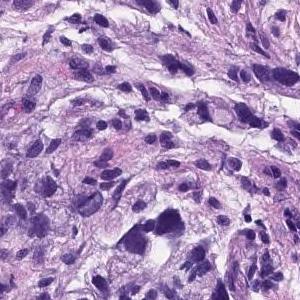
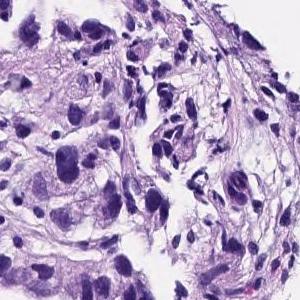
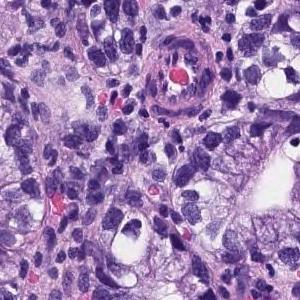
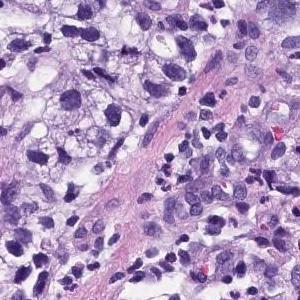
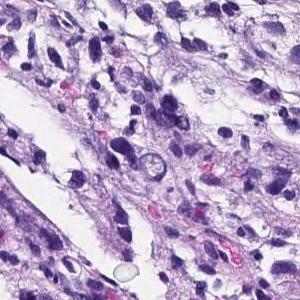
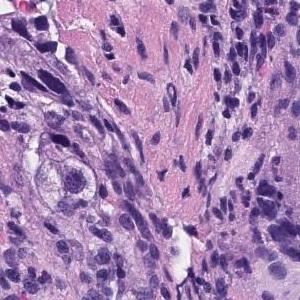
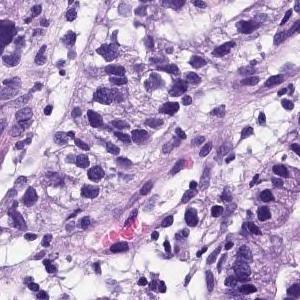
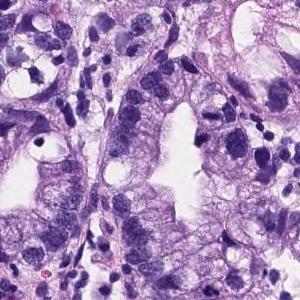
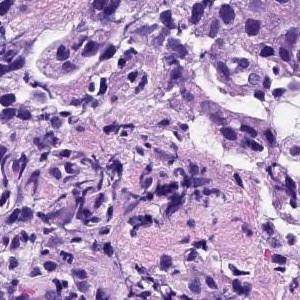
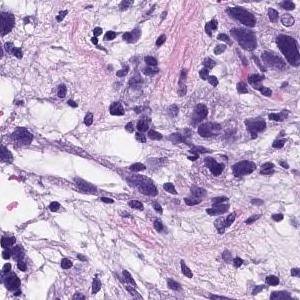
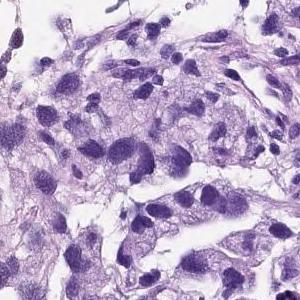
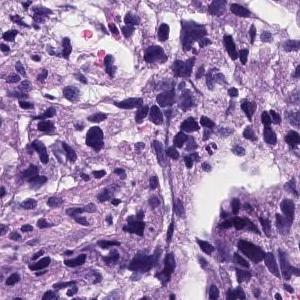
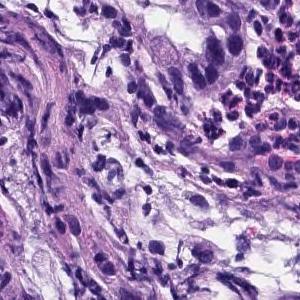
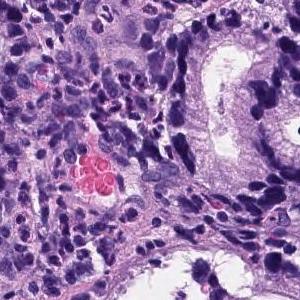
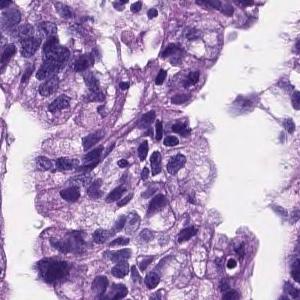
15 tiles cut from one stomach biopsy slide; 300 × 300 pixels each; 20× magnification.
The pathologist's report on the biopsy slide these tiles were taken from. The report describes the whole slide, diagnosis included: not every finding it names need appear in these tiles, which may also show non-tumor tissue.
Medium to small, irregular glandular ducts are formed in the superficial epithelium, and in some cases, the glandular ducts are fused to show solid alveolar lesions and infiltrating tumor tissue is observed. Poorly differentiated adenocarcinoma, Moderately differentiated adenocarcinoma.
The dataset labels this slide moderately differentiated tubular adenocarcinoma.
